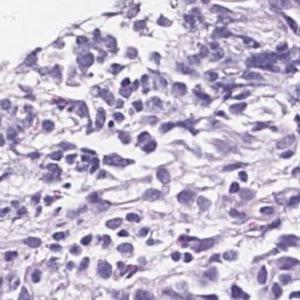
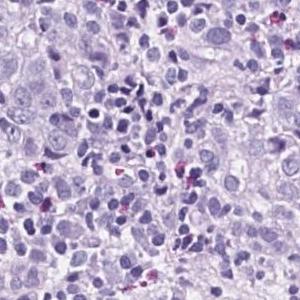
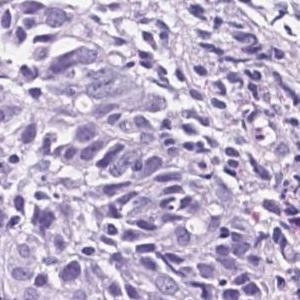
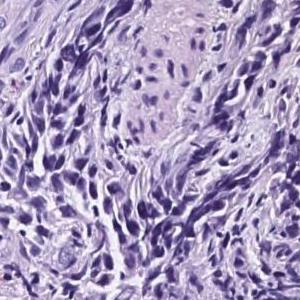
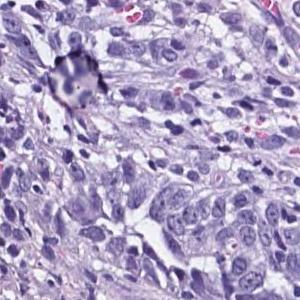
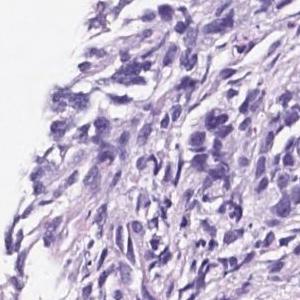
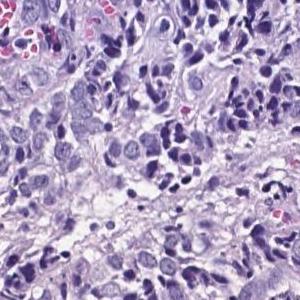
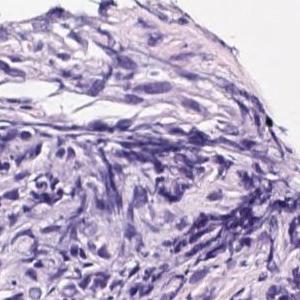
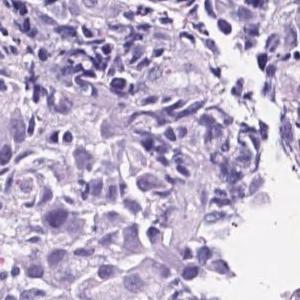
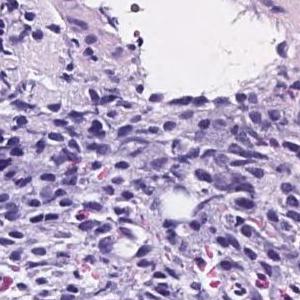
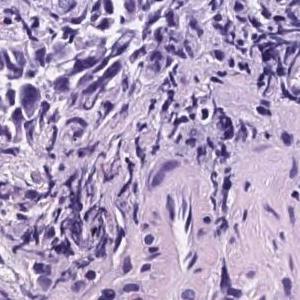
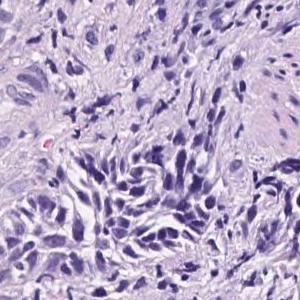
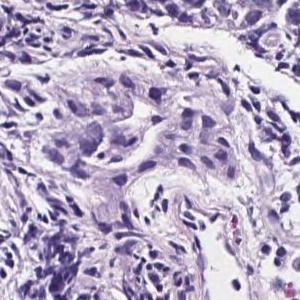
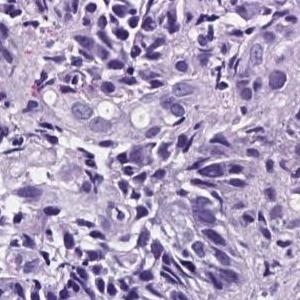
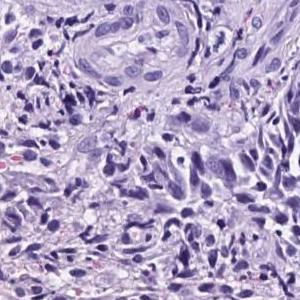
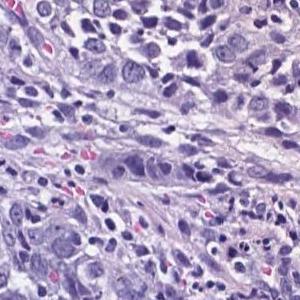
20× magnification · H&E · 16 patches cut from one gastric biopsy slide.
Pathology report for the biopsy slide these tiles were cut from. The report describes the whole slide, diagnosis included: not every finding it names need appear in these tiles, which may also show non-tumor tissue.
Medium to small atypical epithelial cells that become cord-like or irregularly agglomerated and infiltrate. Poorly differentiated adenocarcinoma
Histological subtype: Poorly differentiated adenocarcinoma, solid type. This name comes from the Japanese Classification of Gastric Carcinoma; the WHO 2019 classification calls it tubular adenocarcinoma, poorly differentiated.
